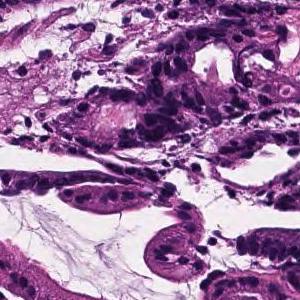
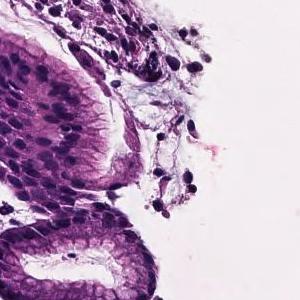
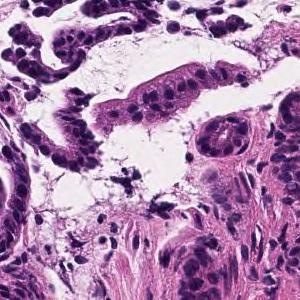
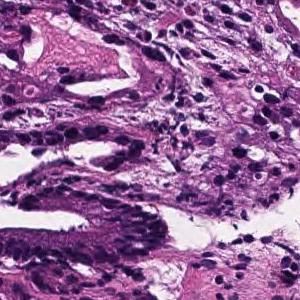
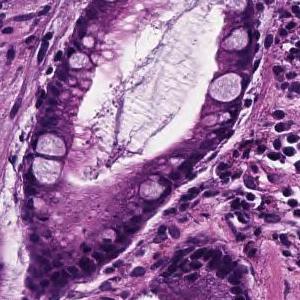
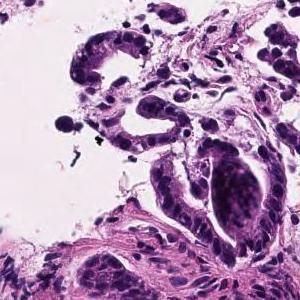
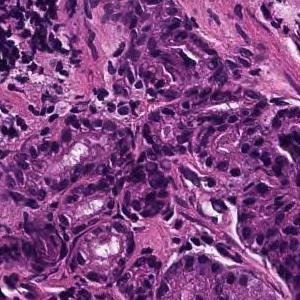
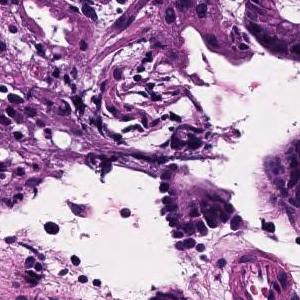
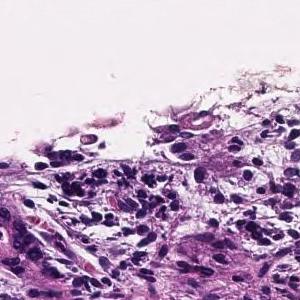
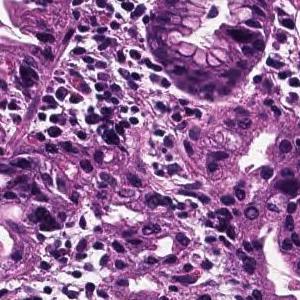
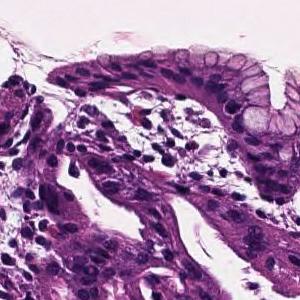
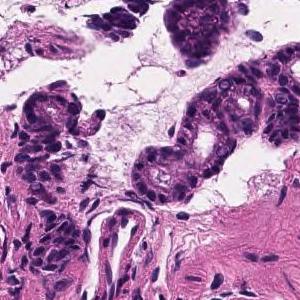
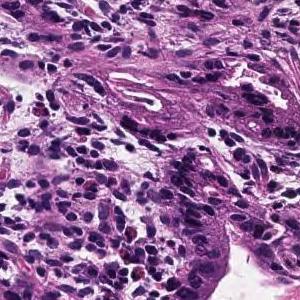
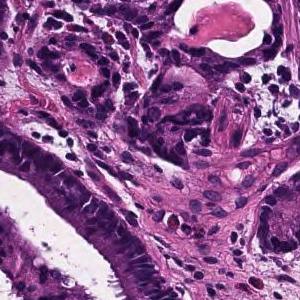
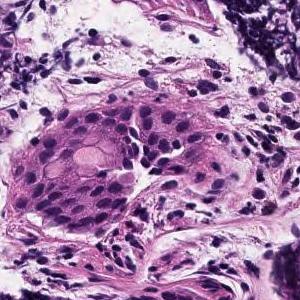
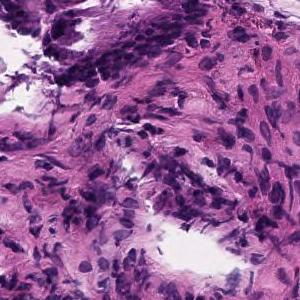
16 patches cut from one gastric biopsy slide · 20× magnification · hematoxylin and eosin stain.
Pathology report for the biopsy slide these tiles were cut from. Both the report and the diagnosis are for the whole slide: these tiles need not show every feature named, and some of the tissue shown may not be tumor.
In the superficial epithelium, tumor tissue infiltrated by partial fusion of medium-sized to small, irregular glandular ducts is observed. moderately differentiated tubular adenocarcinoma
